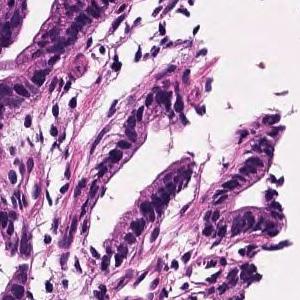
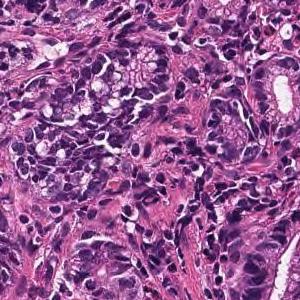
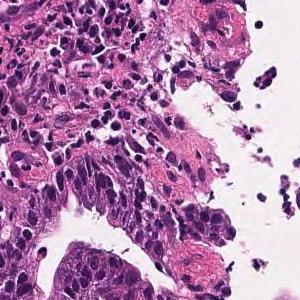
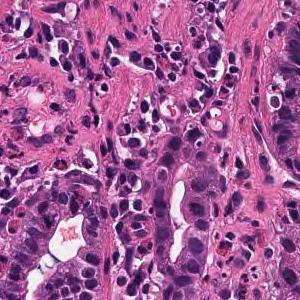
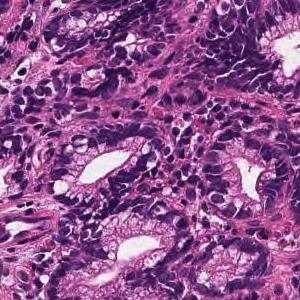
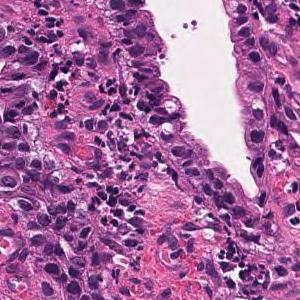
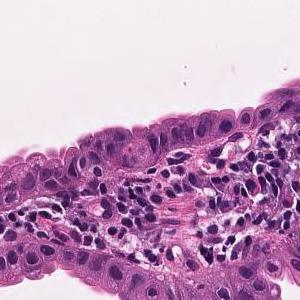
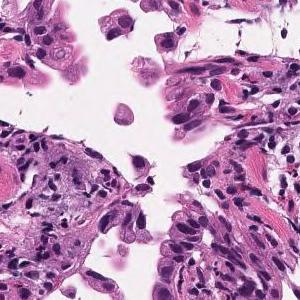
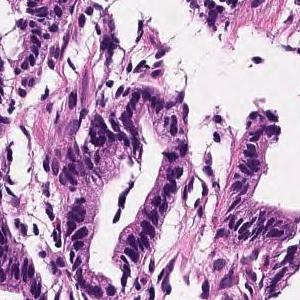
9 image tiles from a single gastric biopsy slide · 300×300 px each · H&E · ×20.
The pathologist's report on the biopsy slide these tiles were taken from. The report and the diagnosis describe the slide as a whole, so these tiles may not show every feature named and may include non-tumor tissue.
Tumor tissue in which medium to small irregular ducts infiltrate and proliferate in the submucosa can be seen in the epithelium. Well differentiated tubular adenocarcinoma
